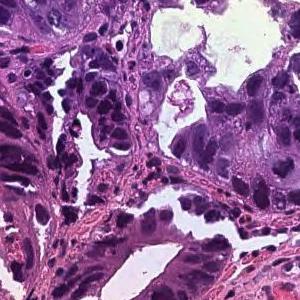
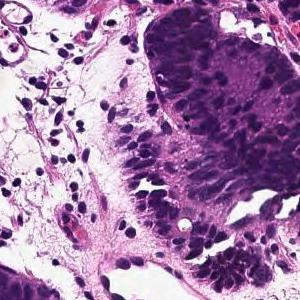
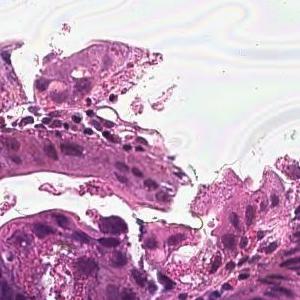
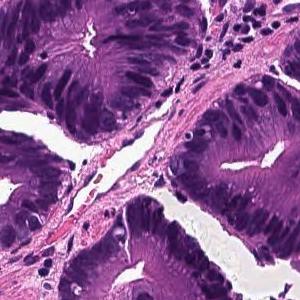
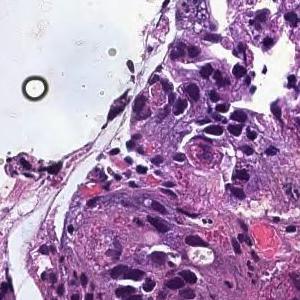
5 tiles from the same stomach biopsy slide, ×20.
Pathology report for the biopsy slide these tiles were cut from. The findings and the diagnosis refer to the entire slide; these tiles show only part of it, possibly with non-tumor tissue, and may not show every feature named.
In the superficial epithelium, tumor tissue that invades by forming medium-sized to small, irregular ducts is observed. moderately differentiated tubular adenocarcinoma.
